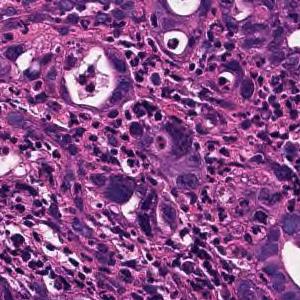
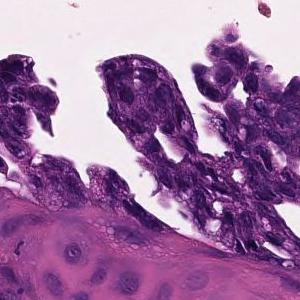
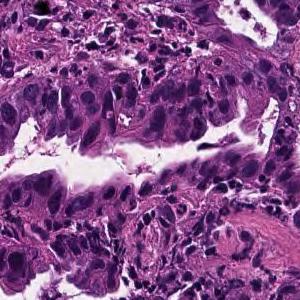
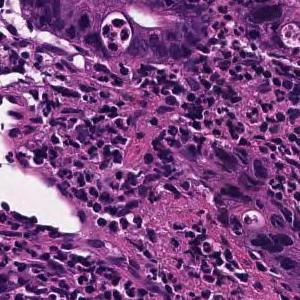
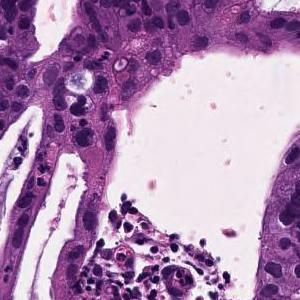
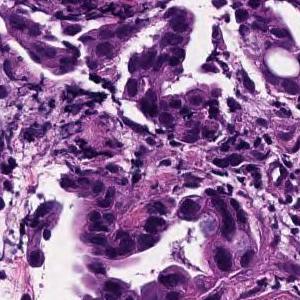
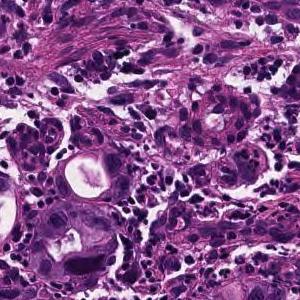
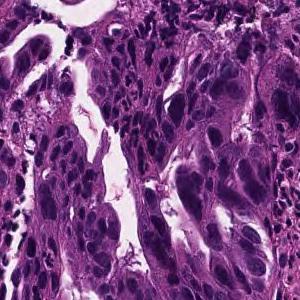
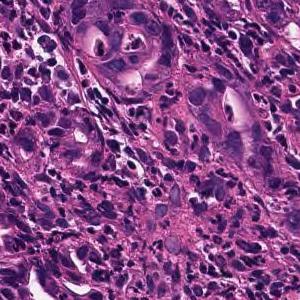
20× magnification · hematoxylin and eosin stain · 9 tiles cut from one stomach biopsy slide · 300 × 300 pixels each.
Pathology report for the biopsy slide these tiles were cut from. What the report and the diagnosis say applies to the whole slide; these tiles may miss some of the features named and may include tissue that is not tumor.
In the superficial epithelium, medium-sized to small irregular glandular ducts are formed, and in some cases, the glandular ducts are fused or small cord-like infiltrating tumor tissue is observed. moderately differentiated tubular adenocarcinoma
